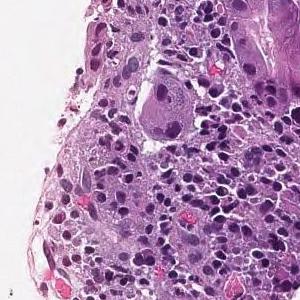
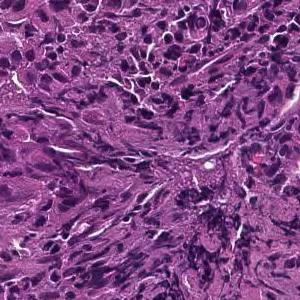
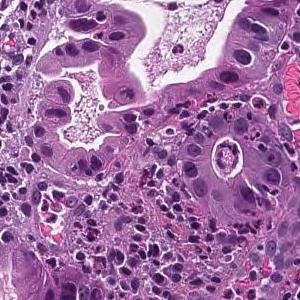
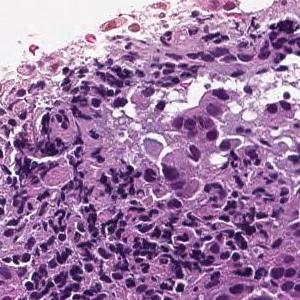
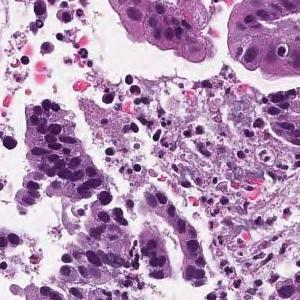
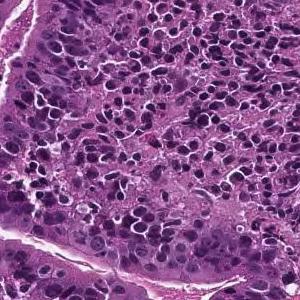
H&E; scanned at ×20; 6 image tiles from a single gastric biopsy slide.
Pathology report for the biopsy slide these tiles were cut from. The report describes the whole slide, diagnosis included: not every finding it names need appear in these tiles, which may also show non-tumor tissue.
From the superficial epithelium to the muscularis mucosae, tumor tissue consisting of medium-sized and irregular glandular ducts infiltrating is observed. Well differentiated tubular adenocarcinoma
